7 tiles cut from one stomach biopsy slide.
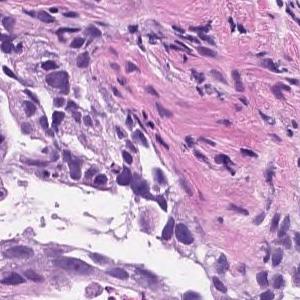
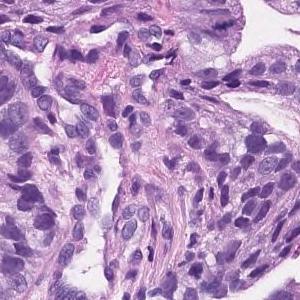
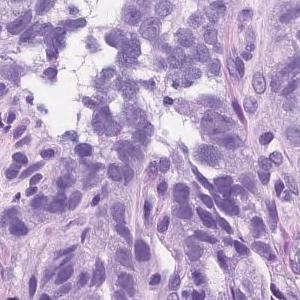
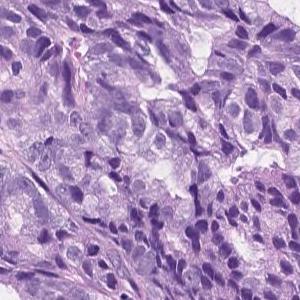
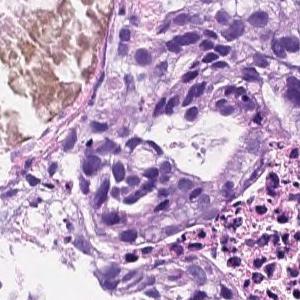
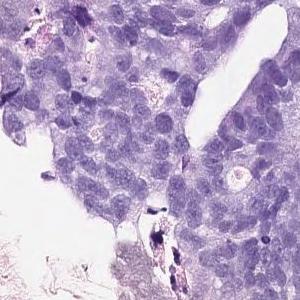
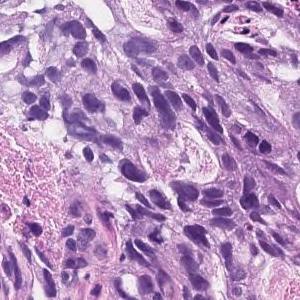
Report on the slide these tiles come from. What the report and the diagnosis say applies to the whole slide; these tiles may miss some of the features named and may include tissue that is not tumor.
On the superficial epithelium, tumor tissue consisting of an image of large, irregular glandular ducts partially fused and infiltrated is observed. Well to moderately differentiated tubular adenocarcinoma
